20× magnification, H&E stain, 6 patches cut from one gastric biopsy slide, 300×300 px each.
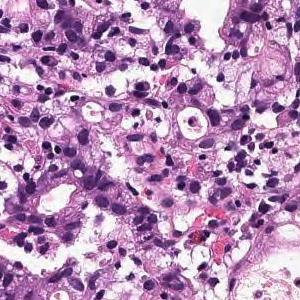
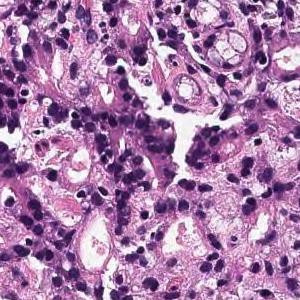
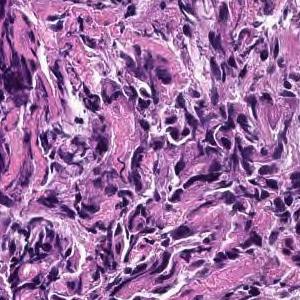
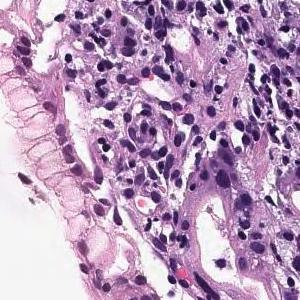
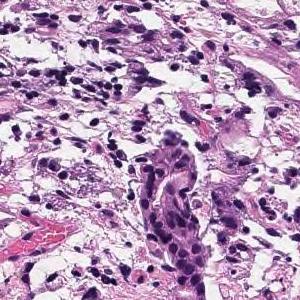
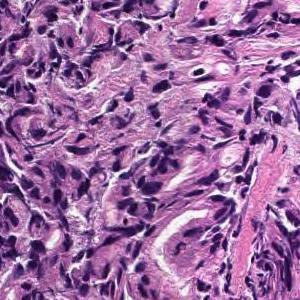
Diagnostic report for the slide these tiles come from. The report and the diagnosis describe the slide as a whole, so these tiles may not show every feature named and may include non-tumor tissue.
Tumor tissue consisting of cord-like or small, irregular glandular ducts fused and infiltrated is observed in the superficial epithelium. Poorly differentiated adenocarcinoma, non-solid type
"Non-solid type" is a category of the Japanese Classification of Gastric Carcinoma.
